×20 · 5 tiles cut from one stomach biopsy slide.
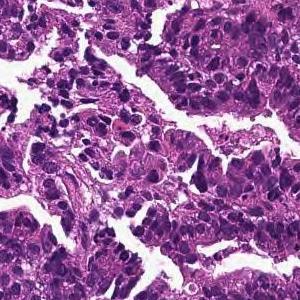
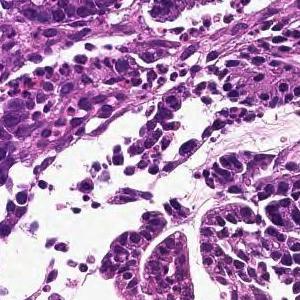
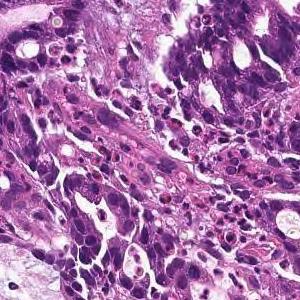
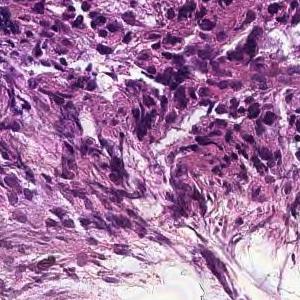
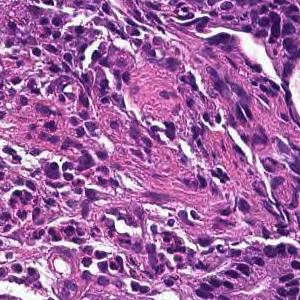
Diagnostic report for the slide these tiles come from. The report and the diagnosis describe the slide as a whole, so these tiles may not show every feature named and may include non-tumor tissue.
In the superficial epithelium, tumor tissue that invades by forming medium-sized to small, irregular ducts is observed. moderately differentiated tubular adenocarcinoma.
